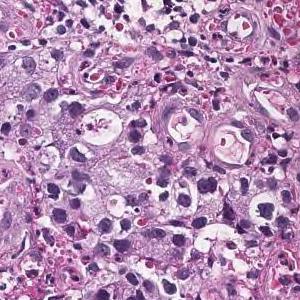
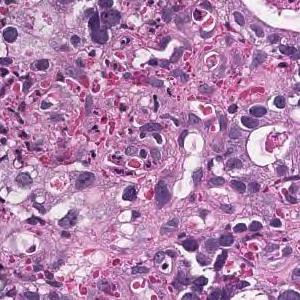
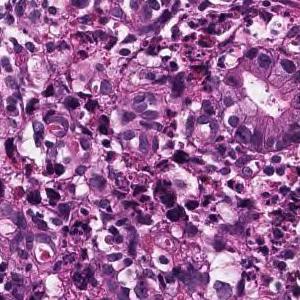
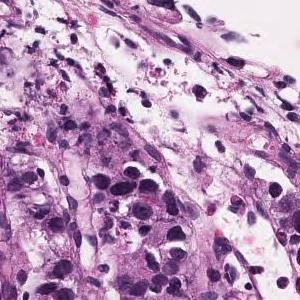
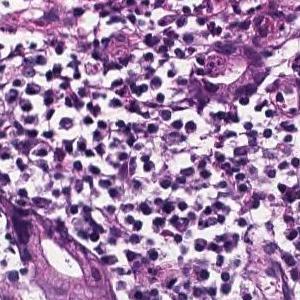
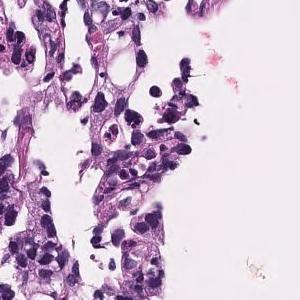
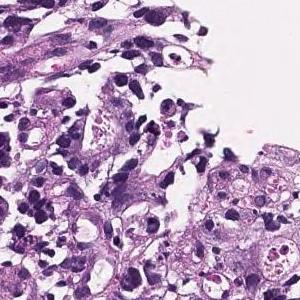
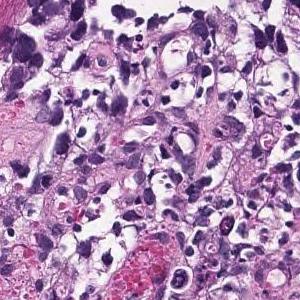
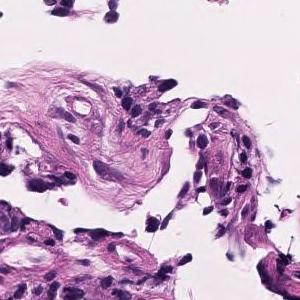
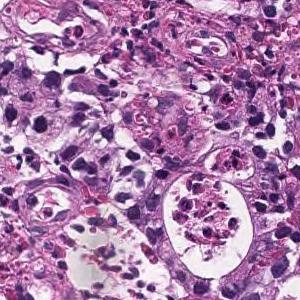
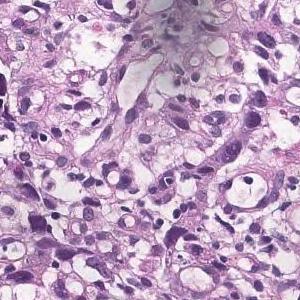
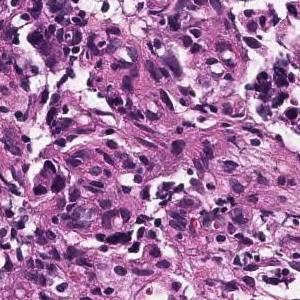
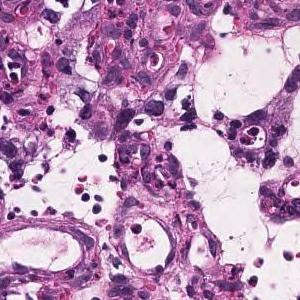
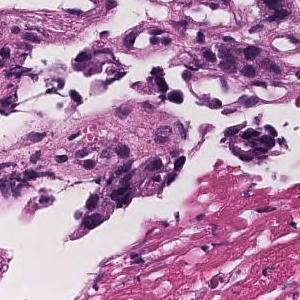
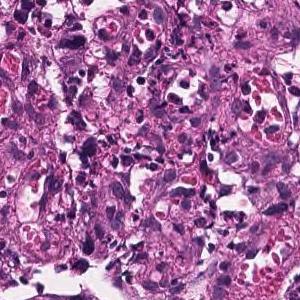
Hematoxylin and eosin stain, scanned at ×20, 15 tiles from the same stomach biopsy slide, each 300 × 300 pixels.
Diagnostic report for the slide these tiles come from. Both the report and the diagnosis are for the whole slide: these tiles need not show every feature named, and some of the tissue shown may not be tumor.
Tumor tissue consisting of medium-sized, cord-like or irregular glandular infiltration is observed in the superficial epithelium. Poorly differentiated adenocarcinoma, non-solid type or moderately differentiated tubular adenocarcinoma
"Non-solid type" is a category of the Japanese Classification of Gastric Carcinoma.
